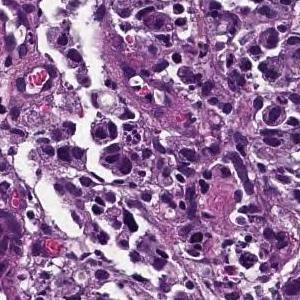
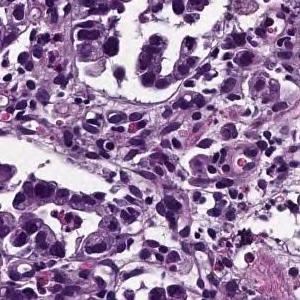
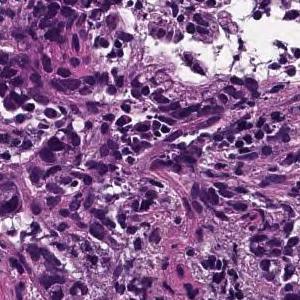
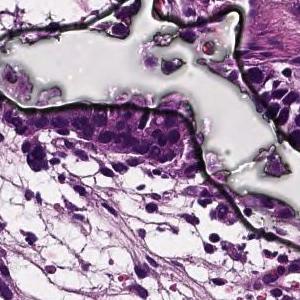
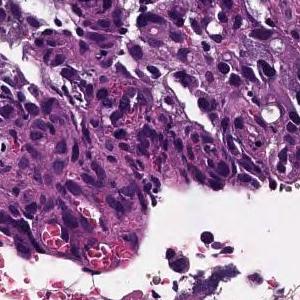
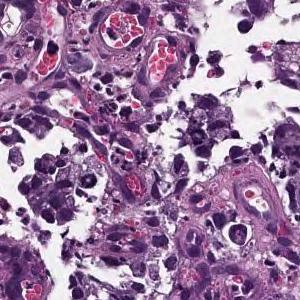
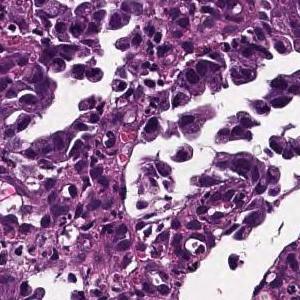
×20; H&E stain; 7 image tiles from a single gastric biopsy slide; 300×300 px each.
The pathologist's report on the biopsy slide these tiles were taken from. What the report and the diagnosis say applies to the whole slide; these tiles may miss some of the features named and may include tissue that is not tumor.
Medium to small, irregular glandular ducts are formed in the superficial epithelium, and in some cases, the glandular ducts are fused to show solid alveolar lesions and infiltrating tumor tissue is observed. Moderately to poorly differentiated adenocarcinoma.
